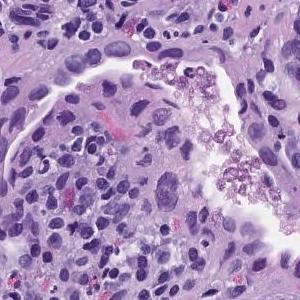
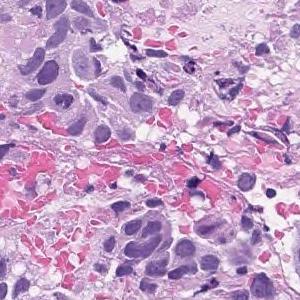
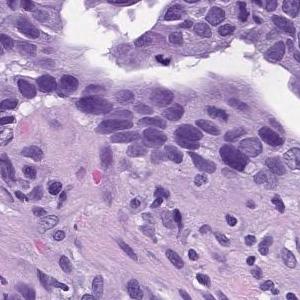
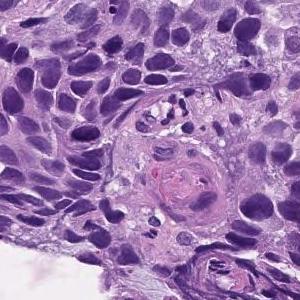
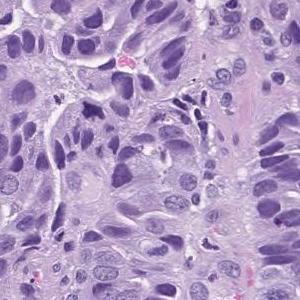
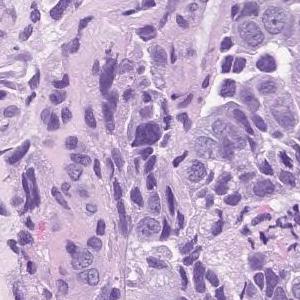
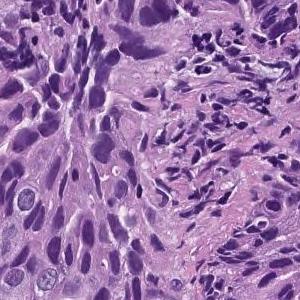
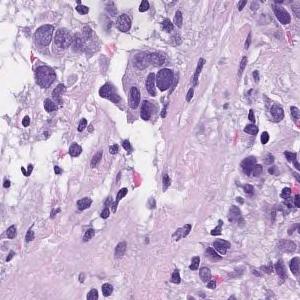
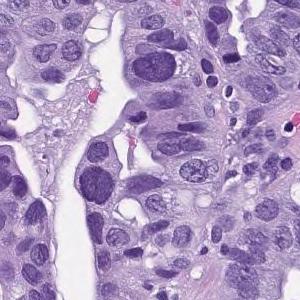
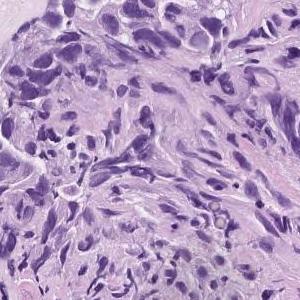
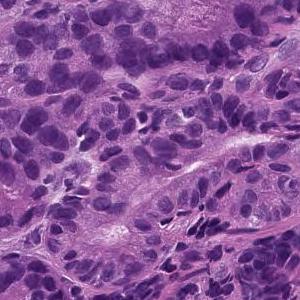
Scanned at ×20, hematoxylin and eosin stain, 11 tiles from the same stomach biopsy slide, 300×300 px each.
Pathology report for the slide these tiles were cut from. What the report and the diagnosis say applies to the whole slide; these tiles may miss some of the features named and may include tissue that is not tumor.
In the superficial epithelium, tumor tissue that invades by forming medium-sized to small, irregular ducts is observed. moderately differentiated tubular adenocarcinoma.
